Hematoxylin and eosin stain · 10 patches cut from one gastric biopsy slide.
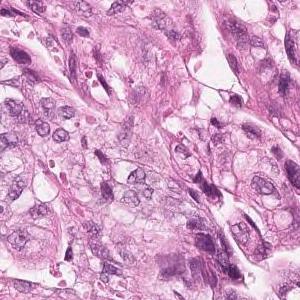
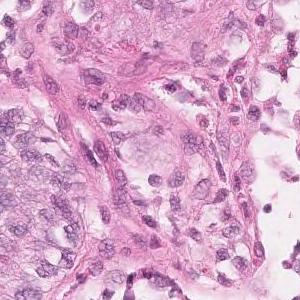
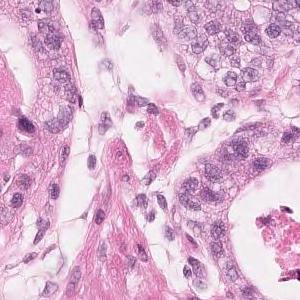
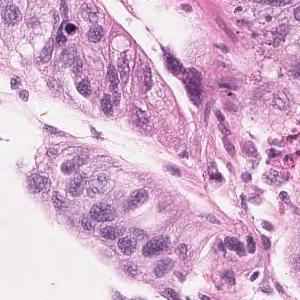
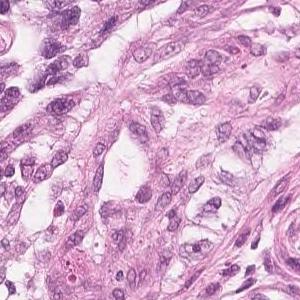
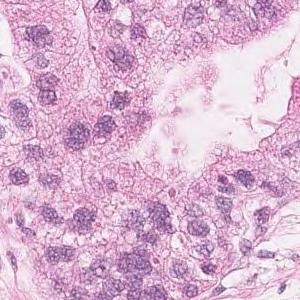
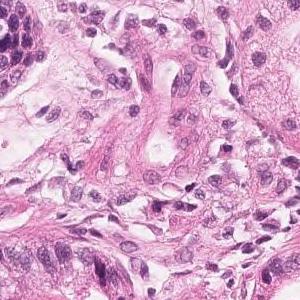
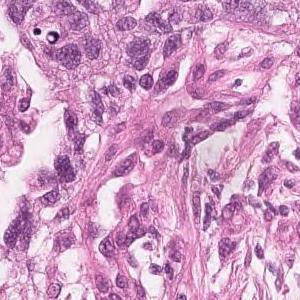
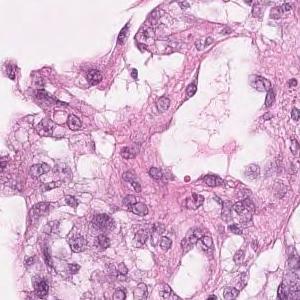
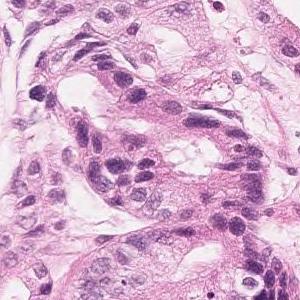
Pathology report for the biopsy slide these tiles were cut from. The report and the diagnosis cover the entire slide, so not every feature they name need be visible here, and some tissue shown may not be tumor.
Highly columnar epithelium with disordered nuclear localization proliferates showing fusion ductal construction. moderately differentiated tubular adenocarcinoma
